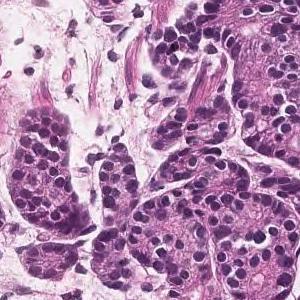
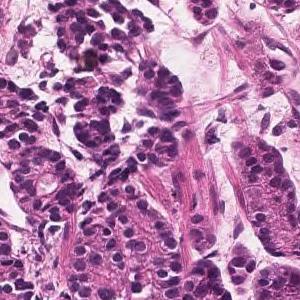
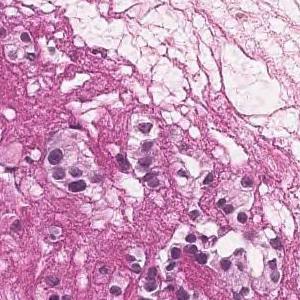
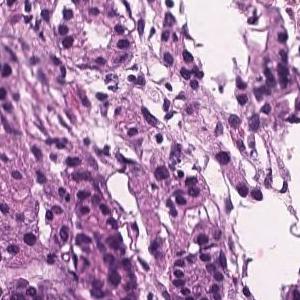
×20, 4 tiles cut from one stomach biopsy slide, each 300 × 300 pixels.
The pathologist's report on the biopsy slide these tiles were taken from. The report describes the whole slide, diagnosis included: not every finding it names need appear in these tiles, which may also show non-tumor tissue.
In the superficial epithelium, tumor tissue that invades by forming medium-sized to small, irregular ducts is observed. Moderately differentiated adenocarcinoma.
Subtype: Moderately differentiated tubular adenocarcinoma.
